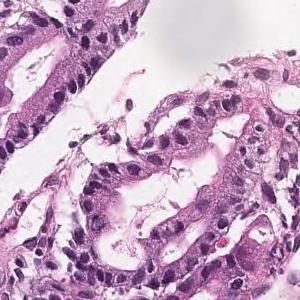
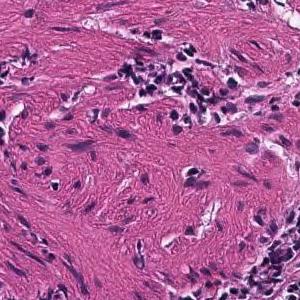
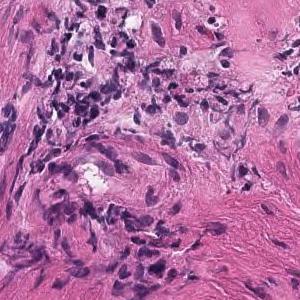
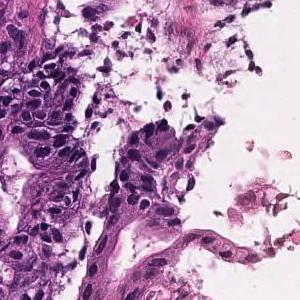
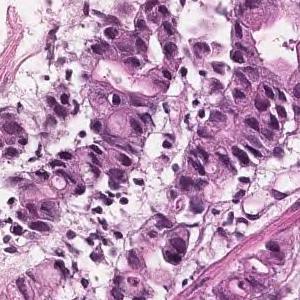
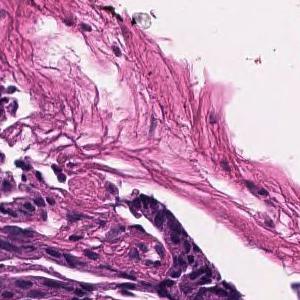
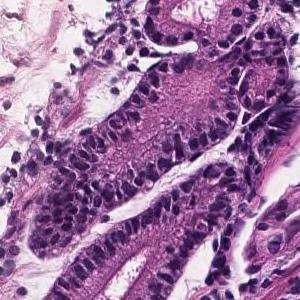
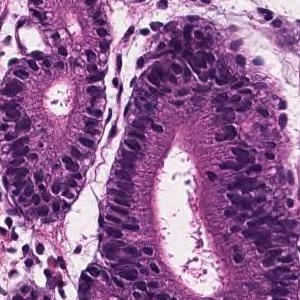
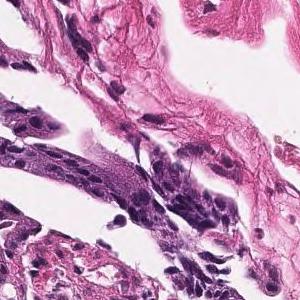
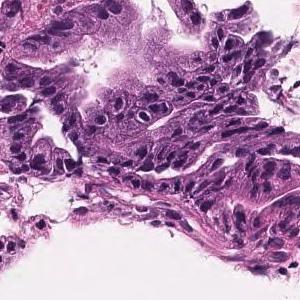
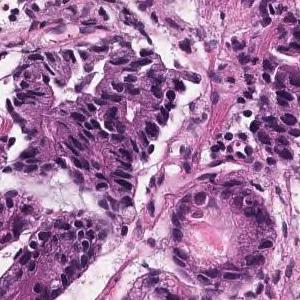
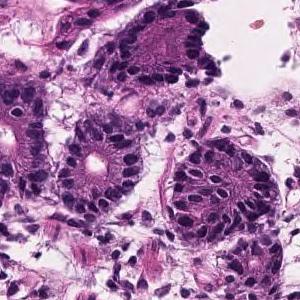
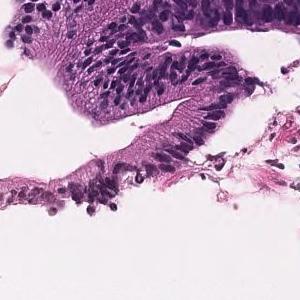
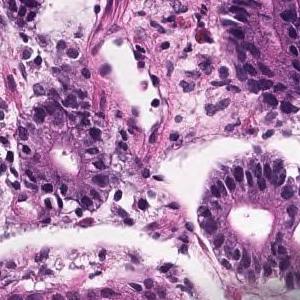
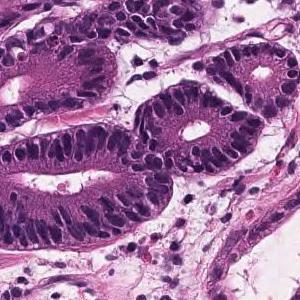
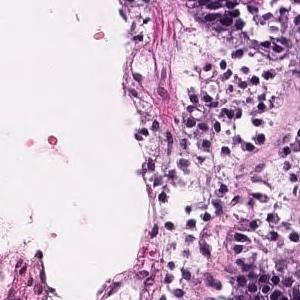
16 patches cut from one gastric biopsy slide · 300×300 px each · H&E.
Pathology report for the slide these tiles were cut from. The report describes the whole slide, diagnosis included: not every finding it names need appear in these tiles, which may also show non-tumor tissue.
Tumor tissue with atypical epithelium showing irregular ductal or sieving ductal structure and proliferating is observed. Well to moderately differentiated tubular adenocarcinoma (well differentiated tubular adenocarcinoma-moderately differentiated tubular adenocarcinoma)
Classified as well to moderately differentiated tubular adenocarcinoma.
